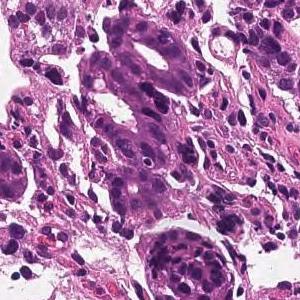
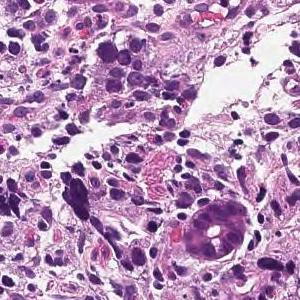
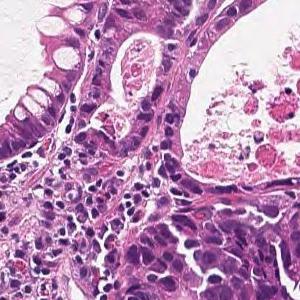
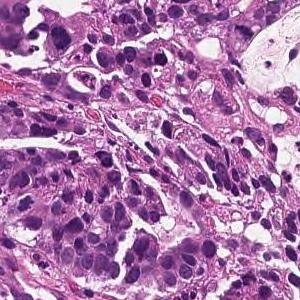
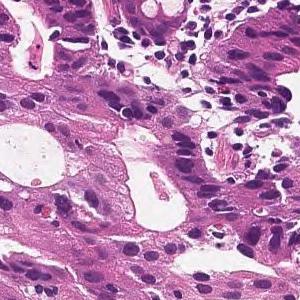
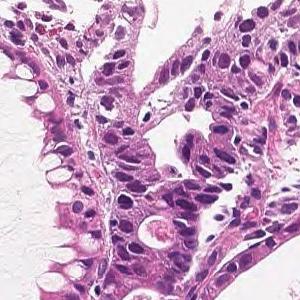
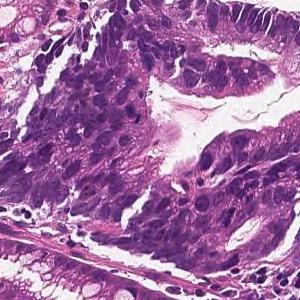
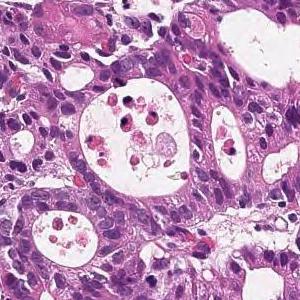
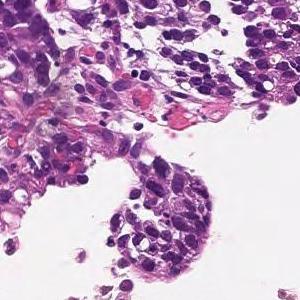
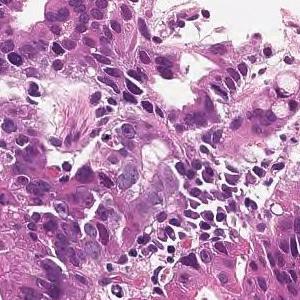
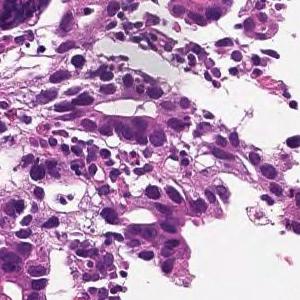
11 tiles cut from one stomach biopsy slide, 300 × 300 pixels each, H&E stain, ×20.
The pathologist's report on the biopsy slide these tiles were taken from. What the report and the diagnosis say applies to the whole slide; these tiles may miss some of the features named and may include tissue that is not tumor.
On the superficial epithelium, tumor tissue is found in which medium-sized irregular gland ducts fuse with each other and infiltrate. moderately differentiated tubular adenocarcinoma
